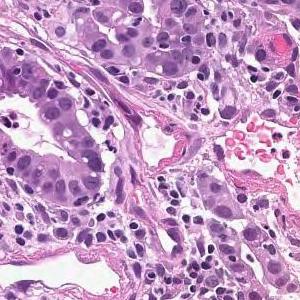
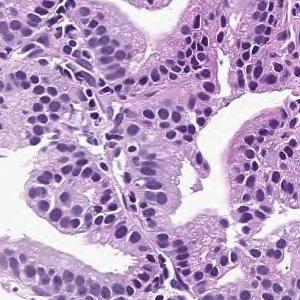
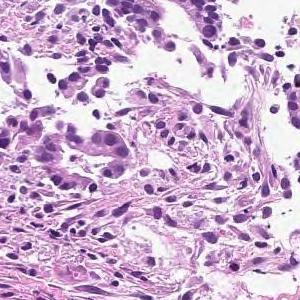
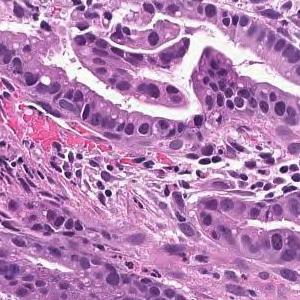
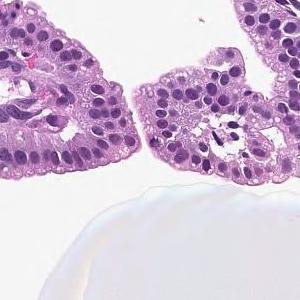
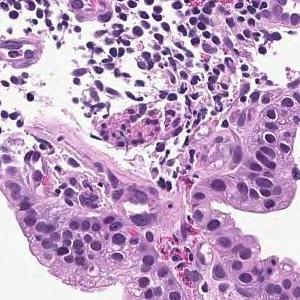
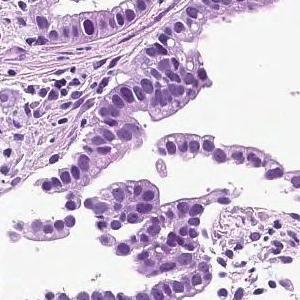
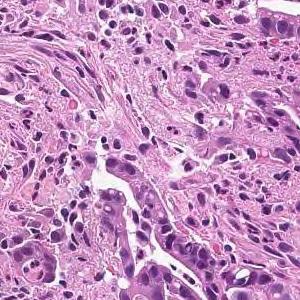
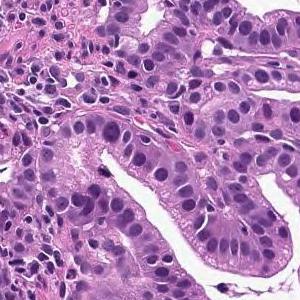
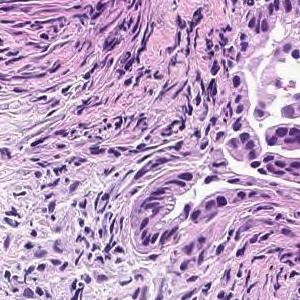
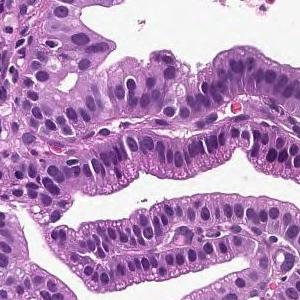
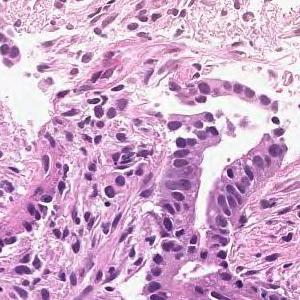
12 patches cut from one gastric biopsy slide; H&E; ×20.
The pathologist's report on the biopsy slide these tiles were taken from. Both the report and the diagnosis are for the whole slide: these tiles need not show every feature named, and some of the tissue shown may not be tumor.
On the superficial epithelium, tumor tissue that infiltrates by forming medium-sized papillary or small irregular ducts is observed. Papillary adenocarcinoma
